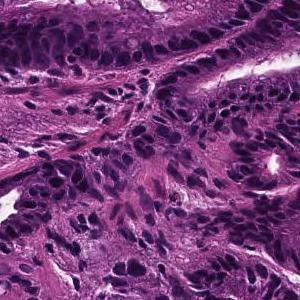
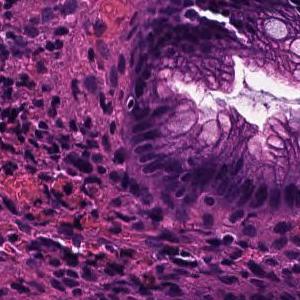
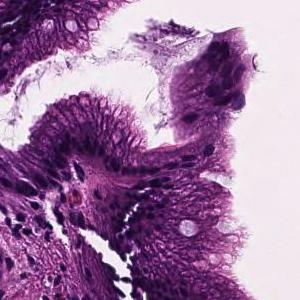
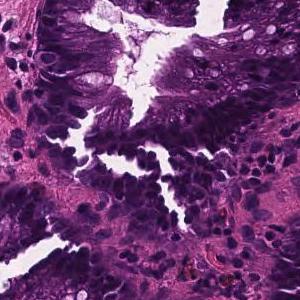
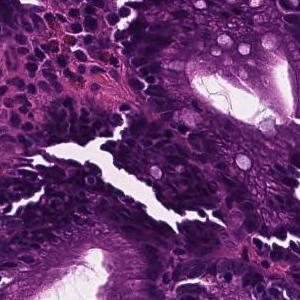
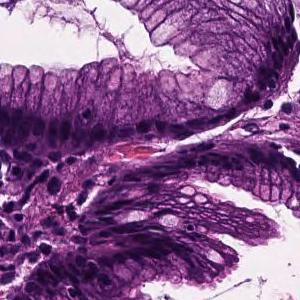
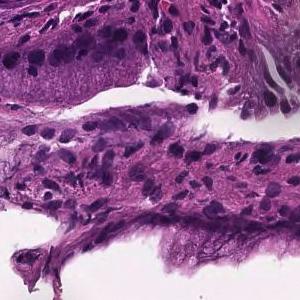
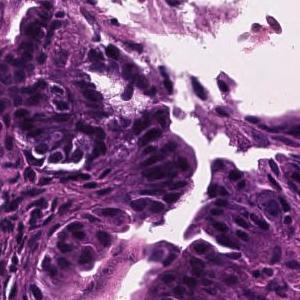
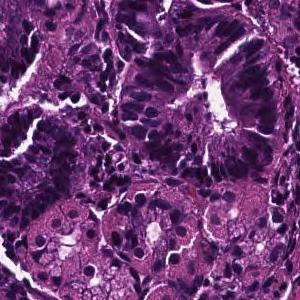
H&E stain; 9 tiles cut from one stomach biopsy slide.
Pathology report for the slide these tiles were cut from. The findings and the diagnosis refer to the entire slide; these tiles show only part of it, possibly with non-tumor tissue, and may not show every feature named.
In the superficial epithelium, tumor tissue that invades by forming medium-sized to small, irregular ducts is observed. Well differentiated tubular adenocarcinoma.
